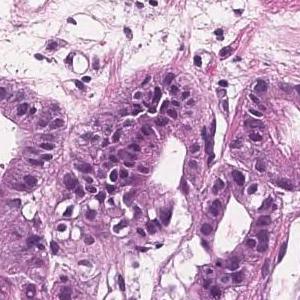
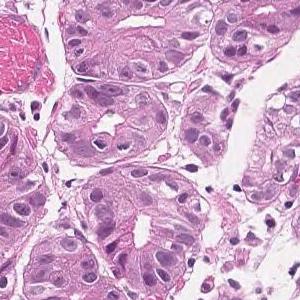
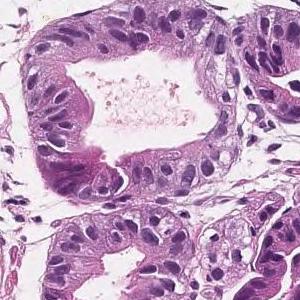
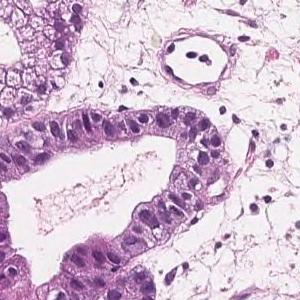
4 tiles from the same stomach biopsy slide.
Diagnostic report for the slide these tiles come from. The report and the diagnosis describe the slide as a whole, so these tiles may not show every feature named and may include non-tumor tissue.
On the superficial epithelium, tumor tissue consisting of medium-sized and irregular gland ducts infiltrated is observed. Well differentiated tubular adenocarcinoma
